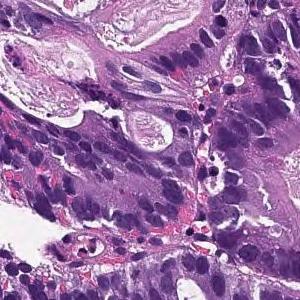
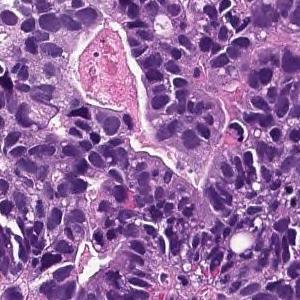
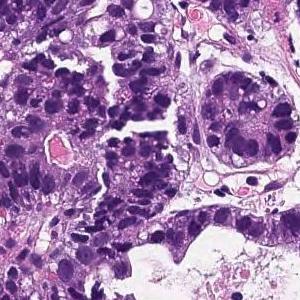
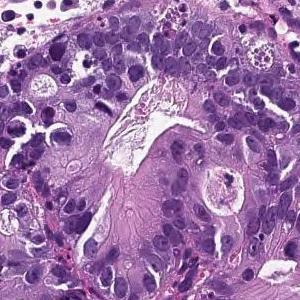
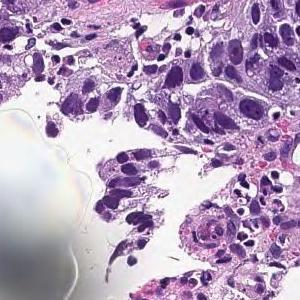
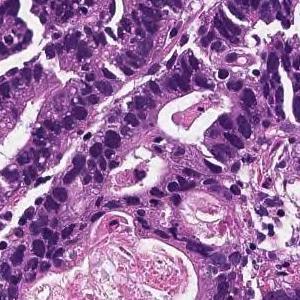
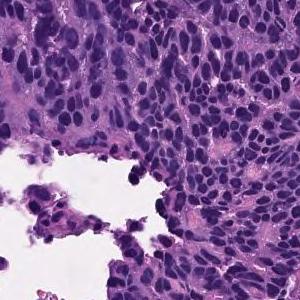
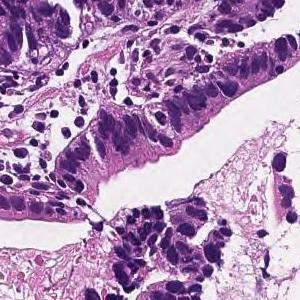
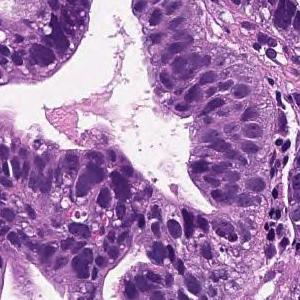
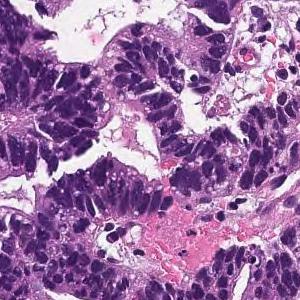
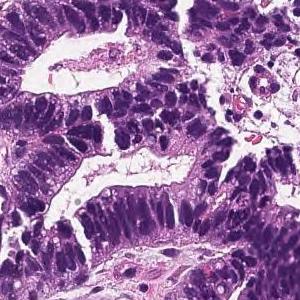
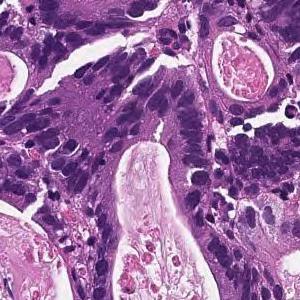
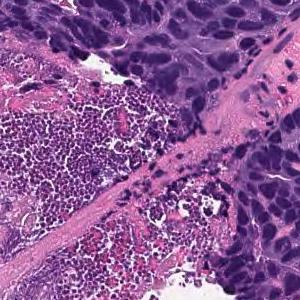
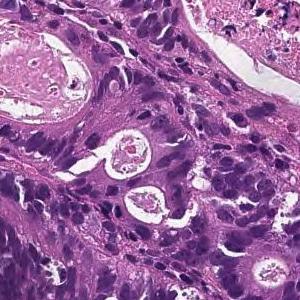
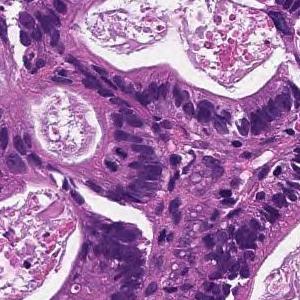
15 tiles cut from one stomach biopsy slide; 20× magnification; H&E stain.
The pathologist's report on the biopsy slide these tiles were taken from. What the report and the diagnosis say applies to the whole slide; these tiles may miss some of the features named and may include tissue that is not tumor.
In the superficial epithelium, tumor tissue that invades by forming medium-sized to small, irregular ducts is observed. moderately differentiated tubular adenocarcinoma.
